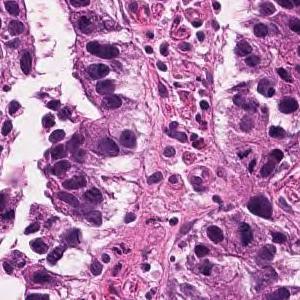
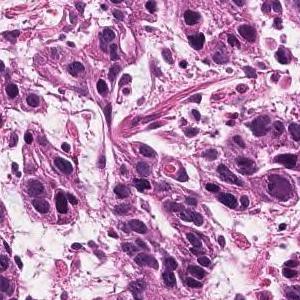
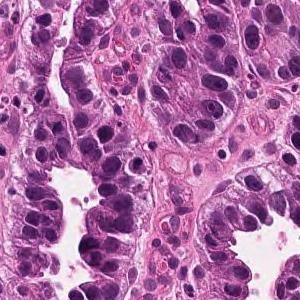
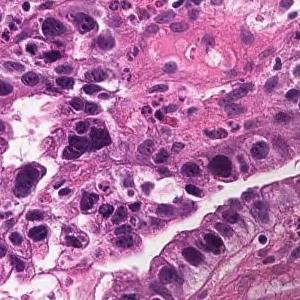
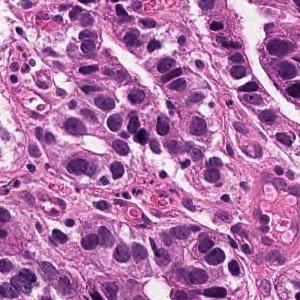
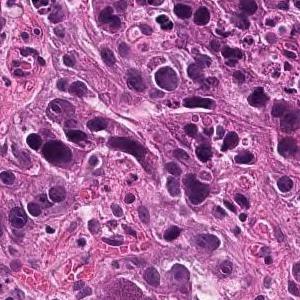
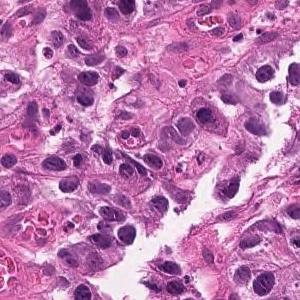
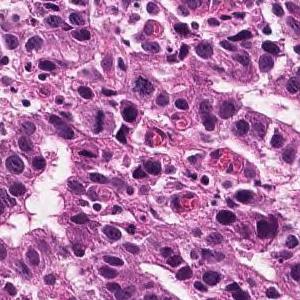
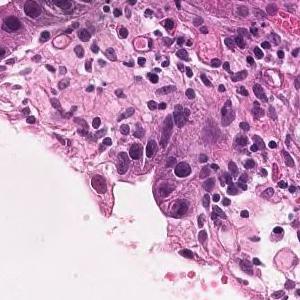
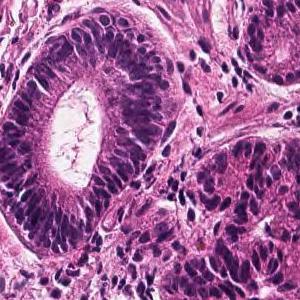
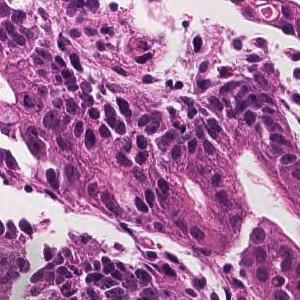
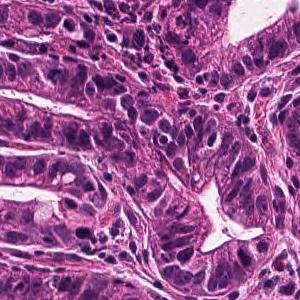
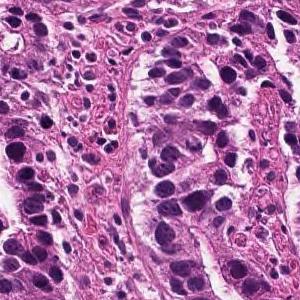
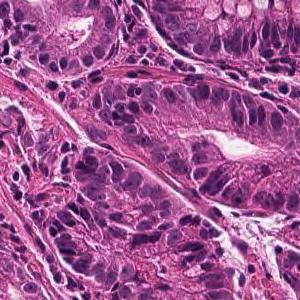
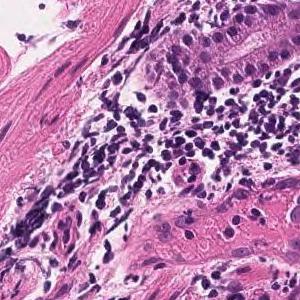
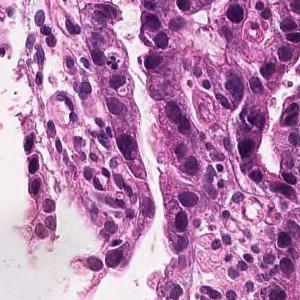
16 tiles from the same stomach biopsy slide; 300 × 300 pixels each.
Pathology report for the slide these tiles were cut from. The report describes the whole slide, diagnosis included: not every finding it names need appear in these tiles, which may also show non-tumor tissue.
Tumor tissue consisting of medium-sized, cord-like or irregular glandular infiltration is observed in the superficial epithelium. Poorly differentiated adenocarcinoma, non-solid type or moderately differentiated tubular adenocarcinoma
Histological subtype: Moderately to poorly differentiated adenocarcinoma.
"Non-solid type" is a category of the Japanese Classification of Gastric Carcinoma.
